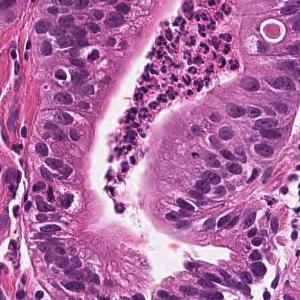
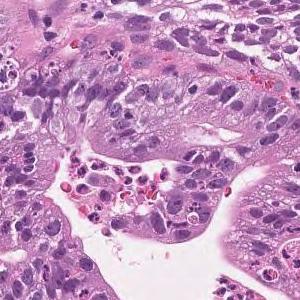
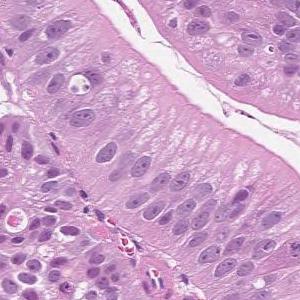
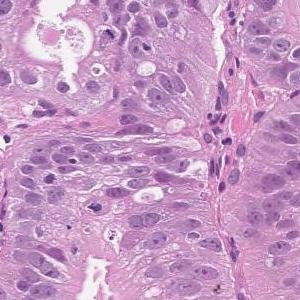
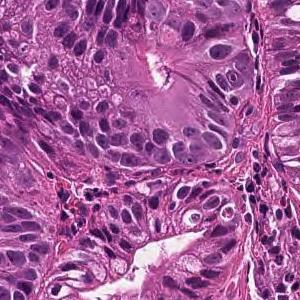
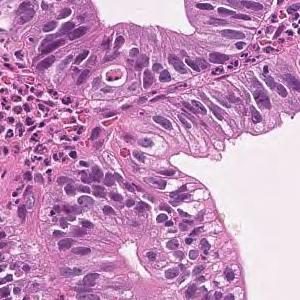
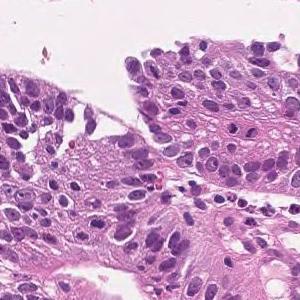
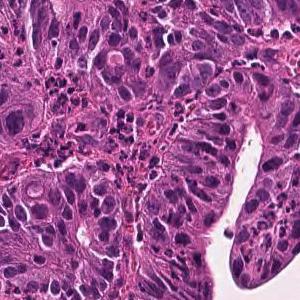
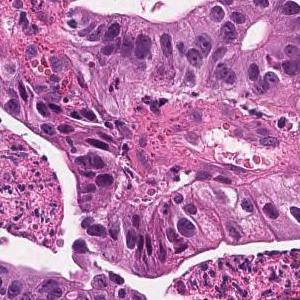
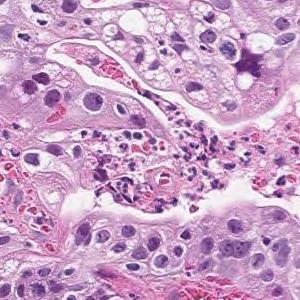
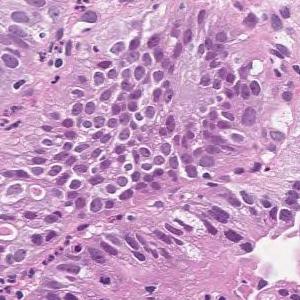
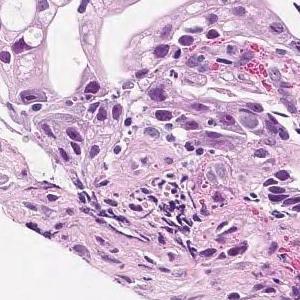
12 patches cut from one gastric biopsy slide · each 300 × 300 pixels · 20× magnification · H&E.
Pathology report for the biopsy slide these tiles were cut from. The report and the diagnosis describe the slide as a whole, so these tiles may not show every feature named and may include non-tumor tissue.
Tumor cells are large, highly columnar, large club-shaped nuclei, and are associated with chromatin aggregation. Papillary adenocarcinoma.
